9 tiles from the same stomach biopsy slide · 300×300 px each · scanned at ×20 · hematoxylin and eosin stain.
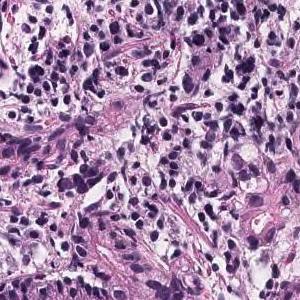
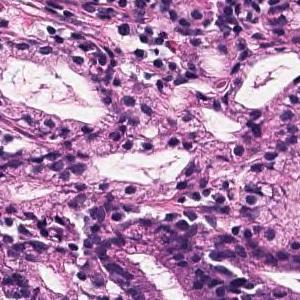
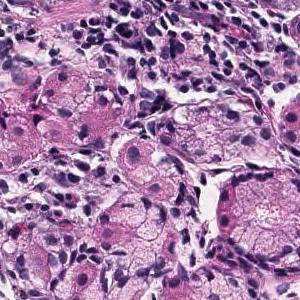
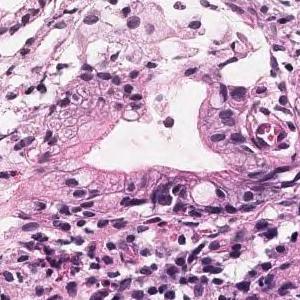
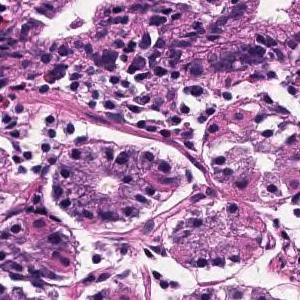
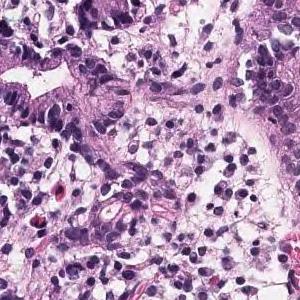
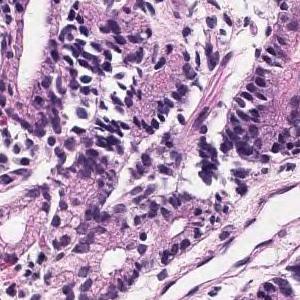
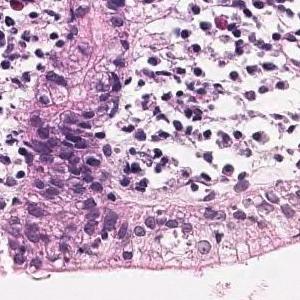
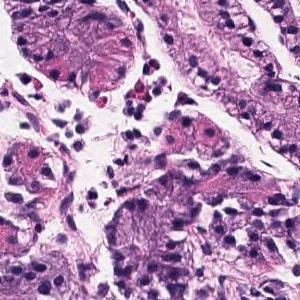
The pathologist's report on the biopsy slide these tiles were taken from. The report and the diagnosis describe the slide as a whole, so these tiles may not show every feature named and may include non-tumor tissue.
Tumor tissue that grows and grows is observed, showing a medium-sized round or irregular duct. moderately differentiated tubular adenocarcinoma
